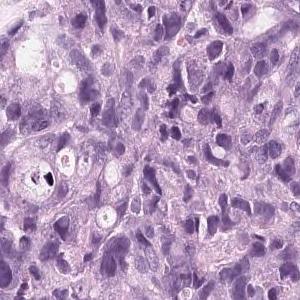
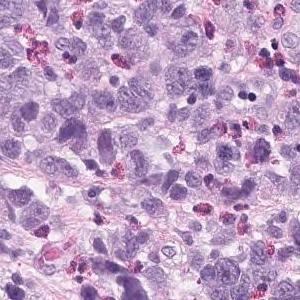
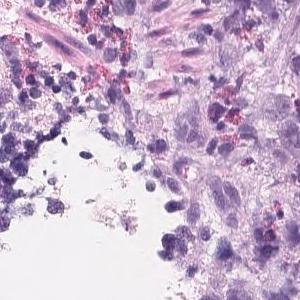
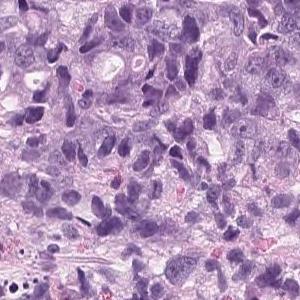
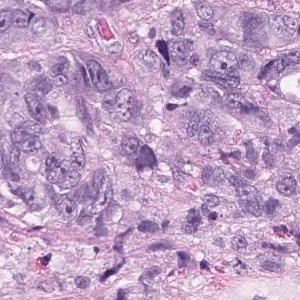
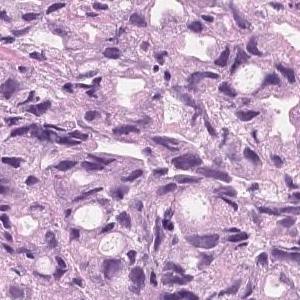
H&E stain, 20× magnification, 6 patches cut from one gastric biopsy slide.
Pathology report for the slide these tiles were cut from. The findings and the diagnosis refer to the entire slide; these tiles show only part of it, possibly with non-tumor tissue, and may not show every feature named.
Tumor tissue that infiltrates and proliferates by forming small glandular cavities in the superficial layer to the submucosa or forming a mass is observed. moderately differentiated tubular adenocarcinoma
